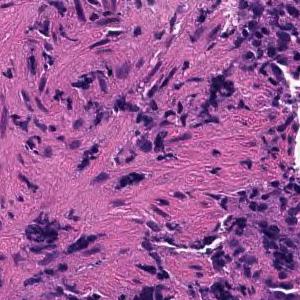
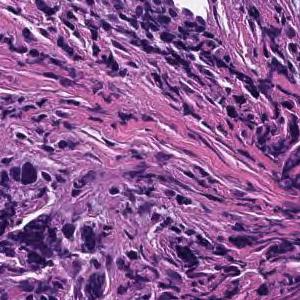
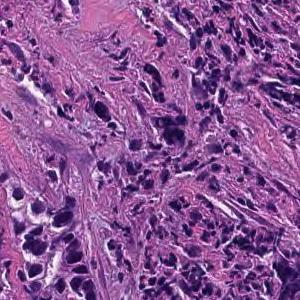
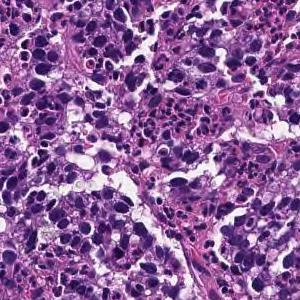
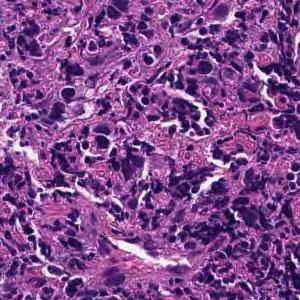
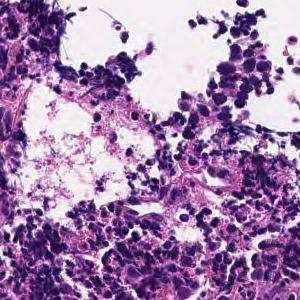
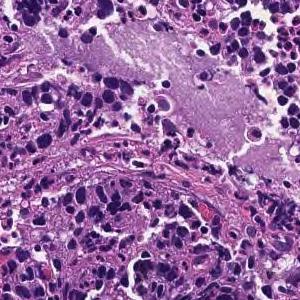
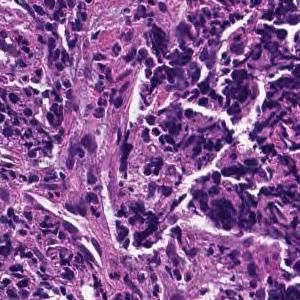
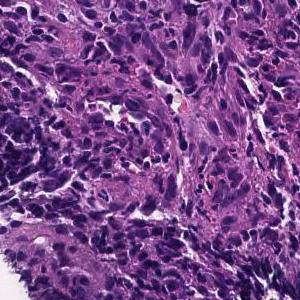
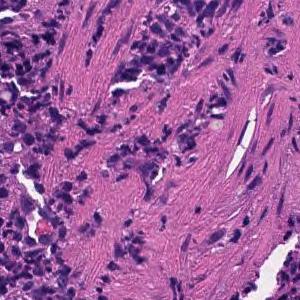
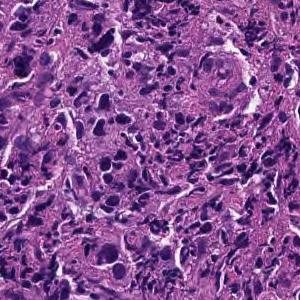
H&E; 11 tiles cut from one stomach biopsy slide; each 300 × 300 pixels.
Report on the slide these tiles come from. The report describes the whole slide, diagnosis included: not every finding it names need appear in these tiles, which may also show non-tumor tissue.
Tumor tissue consisting of cord-like or small, irregular glandular ducts fused and infiltrated is observed in the superficial epithelium. Poorly differentiated adenocarcinoma, non-solid type
"Non-solid type" is a category of the Japanese Classification of Gastric Carcinoma.
